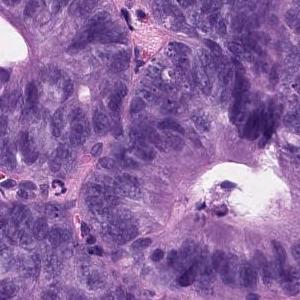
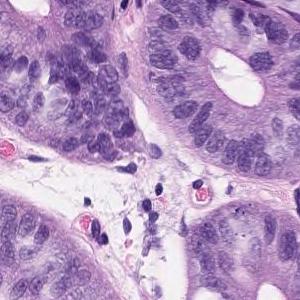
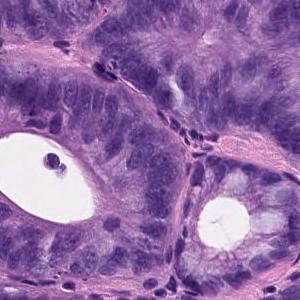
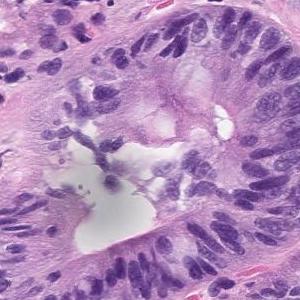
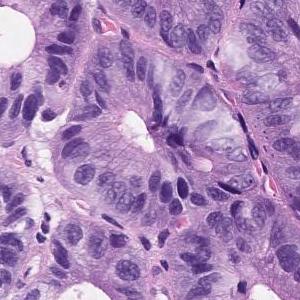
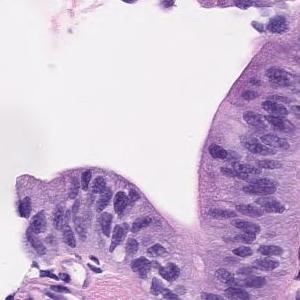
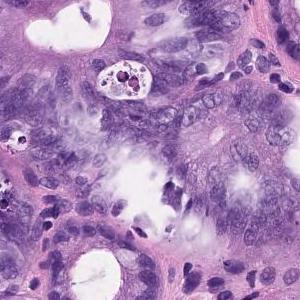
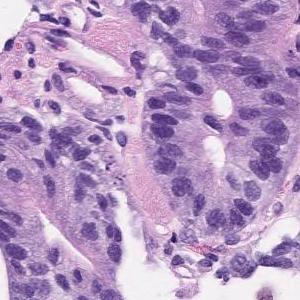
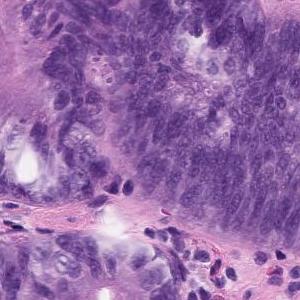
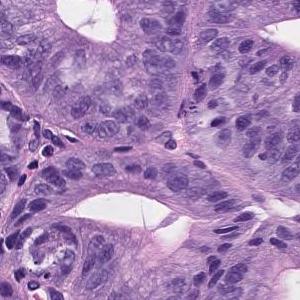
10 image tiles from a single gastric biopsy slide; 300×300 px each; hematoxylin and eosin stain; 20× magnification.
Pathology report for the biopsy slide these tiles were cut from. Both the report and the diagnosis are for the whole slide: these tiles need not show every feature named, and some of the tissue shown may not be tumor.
On the superficial epithelium, tumor tissue consisting of images of atypical ducts of different sizes partially fused and densely proliferating is observed. Well differentiated tubular adenocarcinoma
